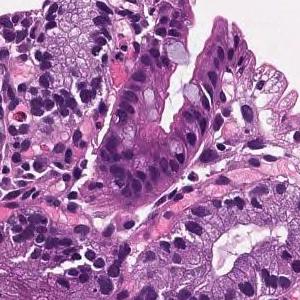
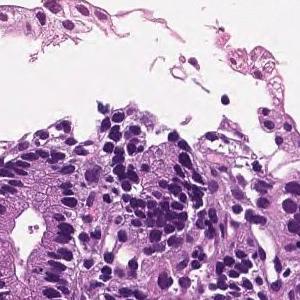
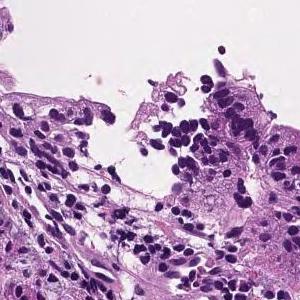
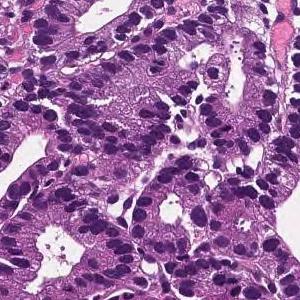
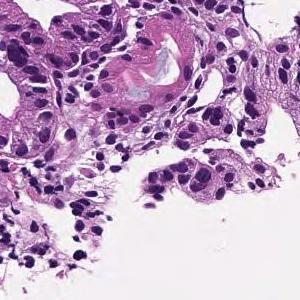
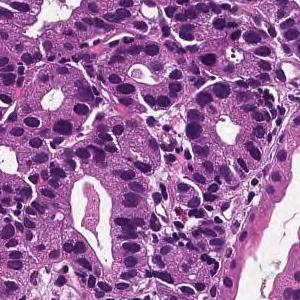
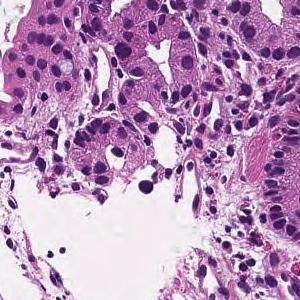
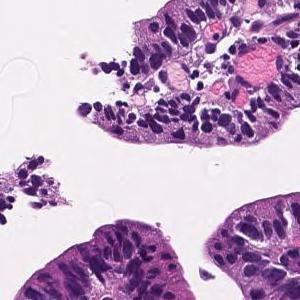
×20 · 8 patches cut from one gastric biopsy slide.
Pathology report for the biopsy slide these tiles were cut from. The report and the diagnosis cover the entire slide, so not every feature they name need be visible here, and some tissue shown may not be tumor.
From the superficial epithelium to the muscularis mucosae, tumor tissue consisting of medium-sized and irregular glandular ducts infiltrating is observed. Well differentiated tubular adenocarcinoma
